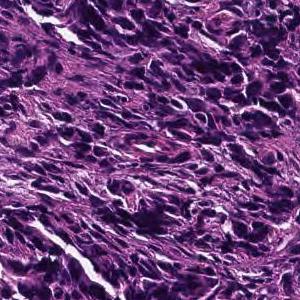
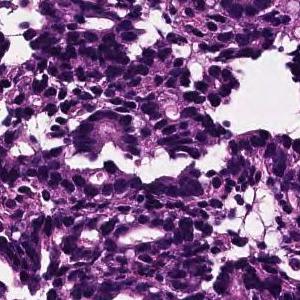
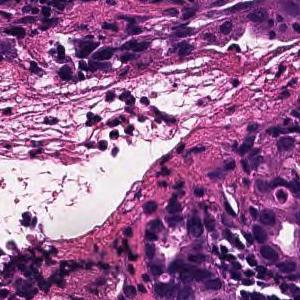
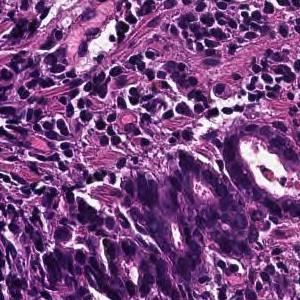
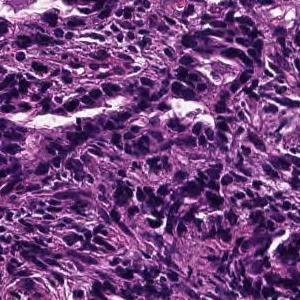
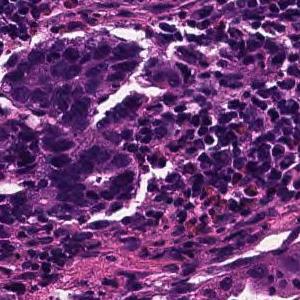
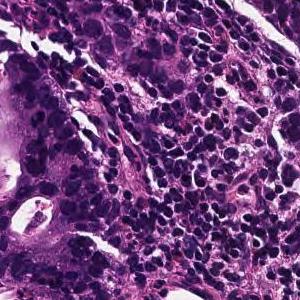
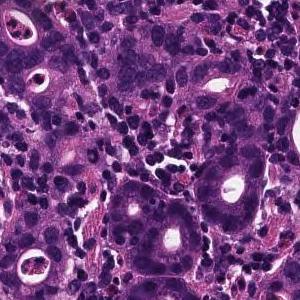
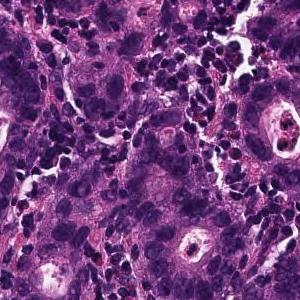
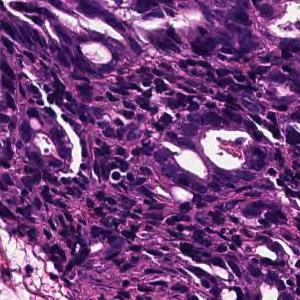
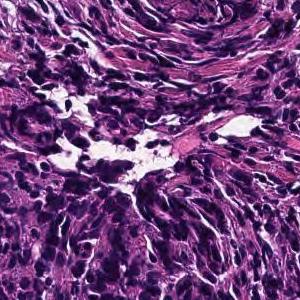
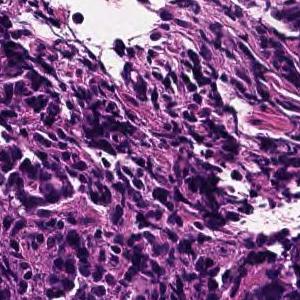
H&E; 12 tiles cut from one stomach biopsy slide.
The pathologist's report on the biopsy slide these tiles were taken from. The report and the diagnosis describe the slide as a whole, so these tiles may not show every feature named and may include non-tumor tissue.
On the superficial epithelium, tumor tissue is found in which medium-sized irregular gland ducts fuse with each other and infiltrate. moderately differentiated tubular adenocarcinoma or Poorly differentiated adenocarcinoma, non-solid type
Histological subtype: Moderately to poorly differentiated adenocarcinoma.
"Non-solid type" is a category of the Japanese Classification of Gastric Carcinoma.
